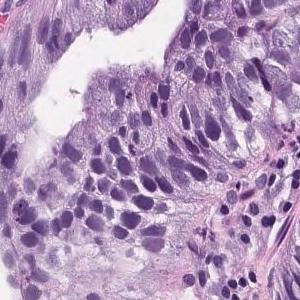
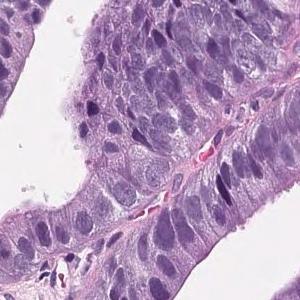
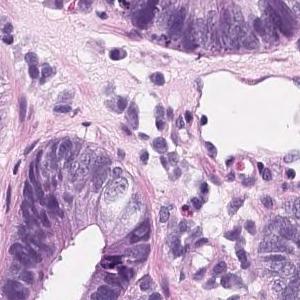
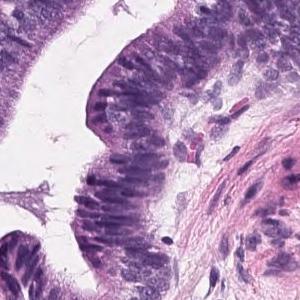
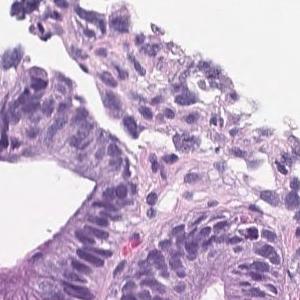
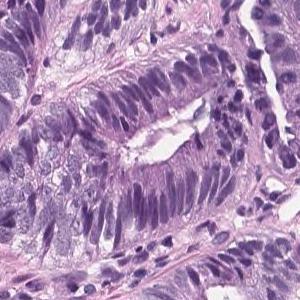
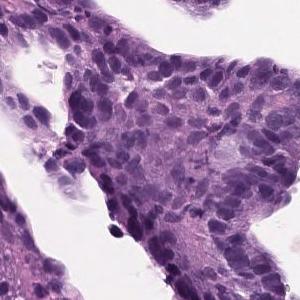
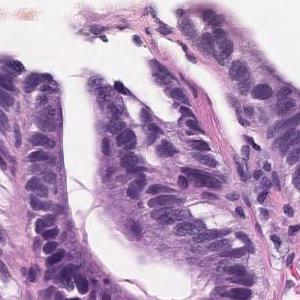
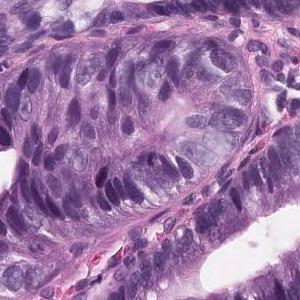
Hematoxylin and eosin stain, ×20, 9 patches cut from one gastric biopsy slide.
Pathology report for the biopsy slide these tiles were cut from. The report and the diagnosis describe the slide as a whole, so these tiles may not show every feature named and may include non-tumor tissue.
Tumor tissue consisting of medium-sized and irregular ducts is observed infiltrating in the superficial epithelium. Tumor cells are highly columnar, with nuclei aligned basolaterally and polarized. Well differentiated tubular adenocarcinoma.
